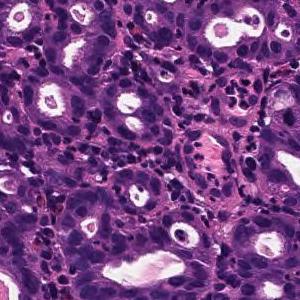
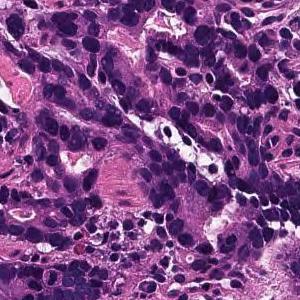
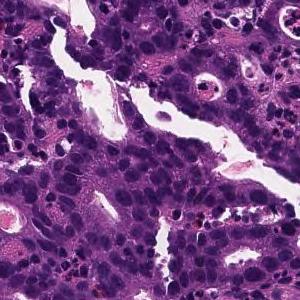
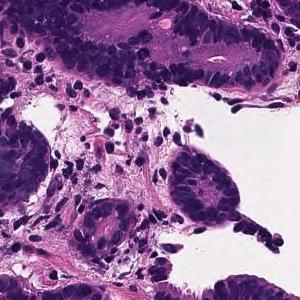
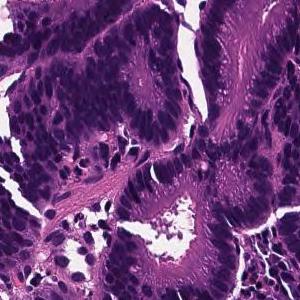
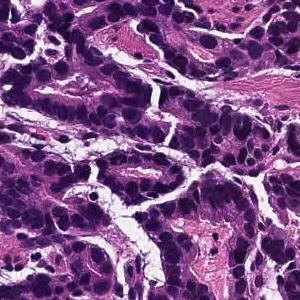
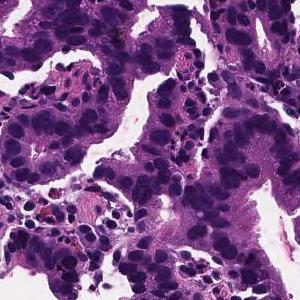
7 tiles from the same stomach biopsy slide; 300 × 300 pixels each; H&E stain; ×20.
Pathology report for the slide these tiles were cut from. What the report and the diagnosis say applies to the whole slide; these tiles may miss some of the features named and may include tissue that is not tumor.
On the superficial epithelium, tumor tissue is found in which medium-sized irregular gland ducts fuse with each other and infiltrate. moderately differentiated tubular adenocarcinoma
